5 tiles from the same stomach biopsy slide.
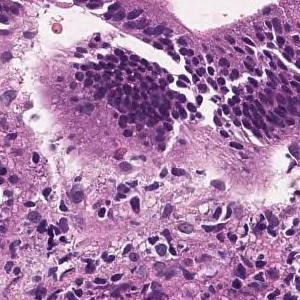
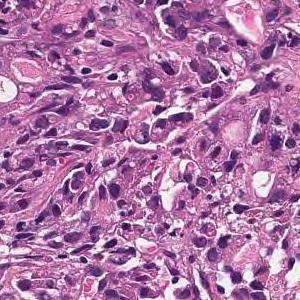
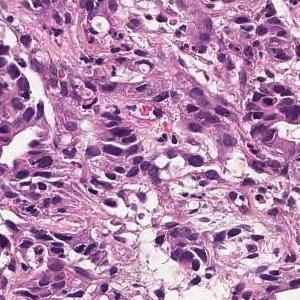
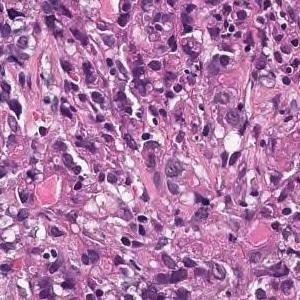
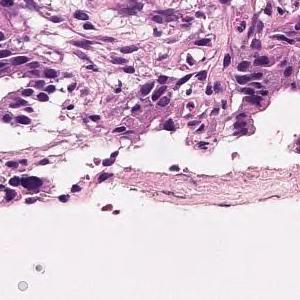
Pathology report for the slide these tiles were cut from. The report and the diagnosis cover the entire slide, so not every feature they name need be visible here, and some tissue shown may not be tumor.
Tumor tissue consisting of cord-like or small, irregular glandular ducts fused and infiltrated is observed in the superficial epithelium. Poorly differentiated adenocarcinoma, non-solid type
"Non-solid type" is a category of the Japanese Classification of Gastric Carcinoma.
